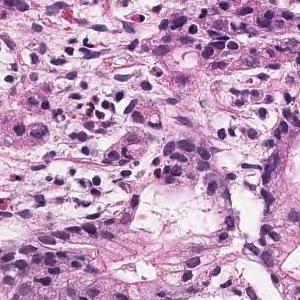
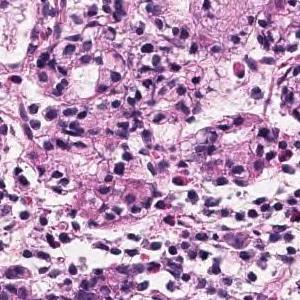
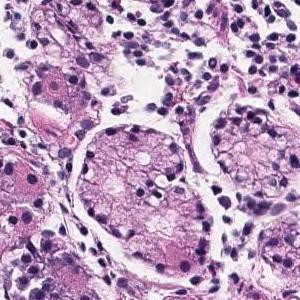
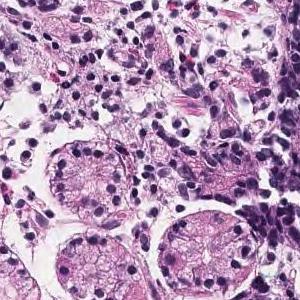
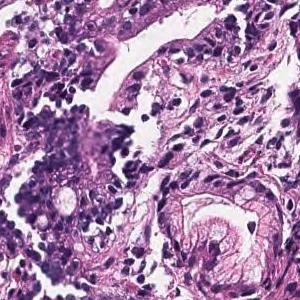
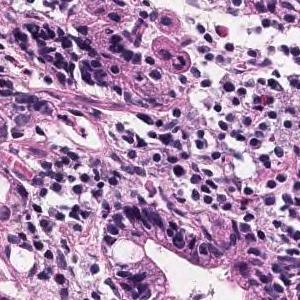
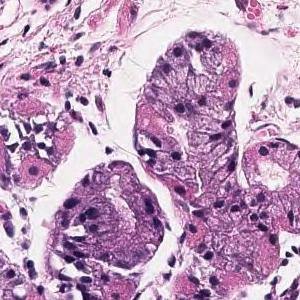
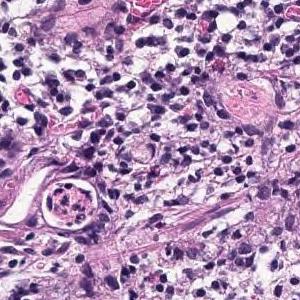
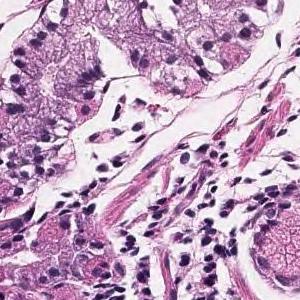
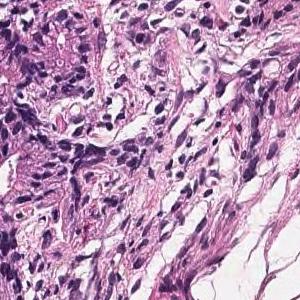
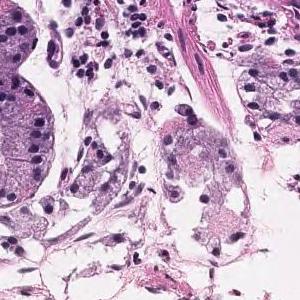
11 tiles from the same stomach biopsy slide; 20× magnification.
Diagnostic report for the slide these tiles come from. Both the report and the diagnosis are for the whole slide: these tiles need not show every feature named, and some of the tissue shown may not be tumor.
Tumor tissue that grows and grows is observed, showing a medium-sized round or irregular duct. moderately differentiated tubular adenocarcinoma
